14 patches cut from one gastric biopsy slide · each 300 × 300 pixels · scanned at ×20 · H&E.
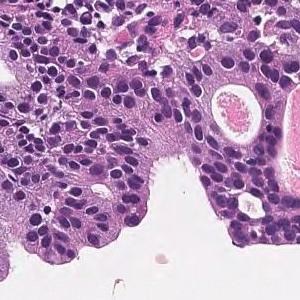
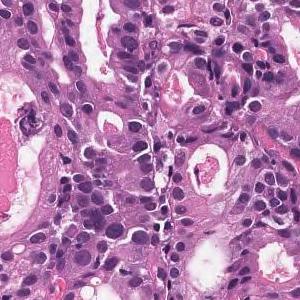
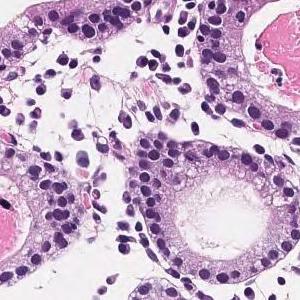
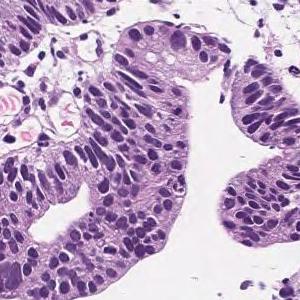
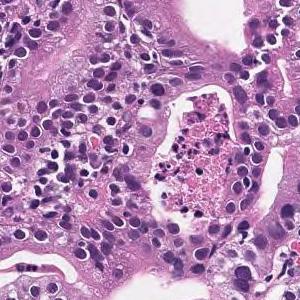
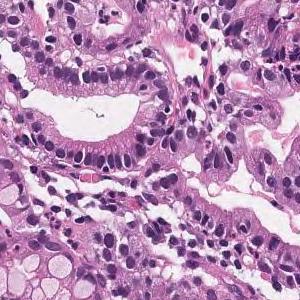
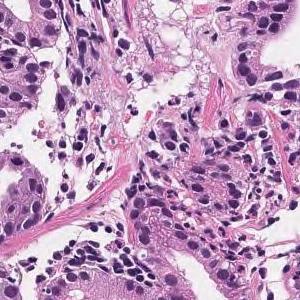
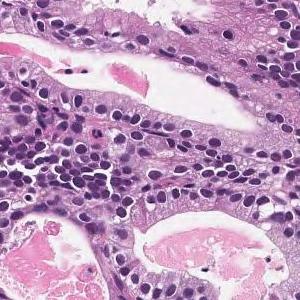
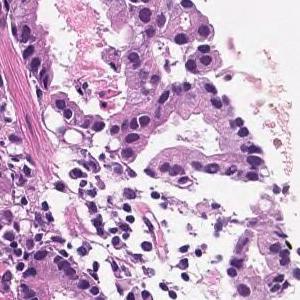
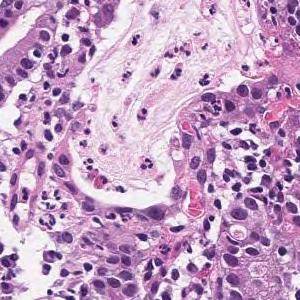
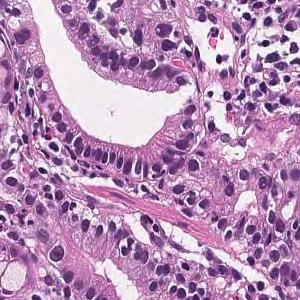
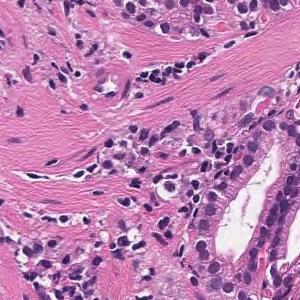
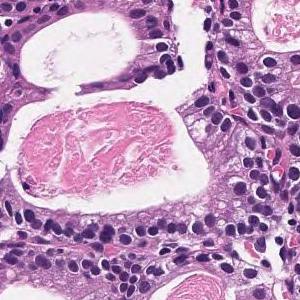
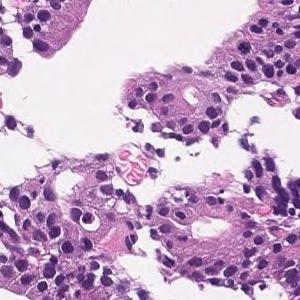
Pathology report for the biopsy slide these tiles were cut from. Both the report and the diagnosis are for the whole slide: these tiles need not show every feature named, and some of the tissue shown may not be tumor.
Medium to small, irregular glandular ducts are formed in the superficial epithelium, and in some cases, the glandular ducts are fused to show solid alveolar lesions and infiltrating tumor tissue is observed. Moderately to poorly differentiated adenocarcinoma.
